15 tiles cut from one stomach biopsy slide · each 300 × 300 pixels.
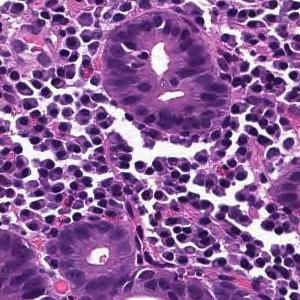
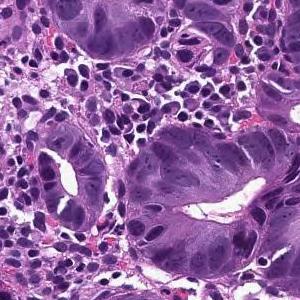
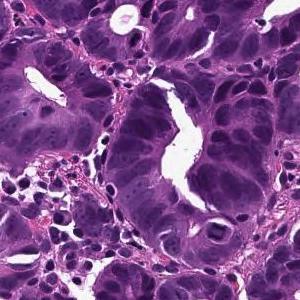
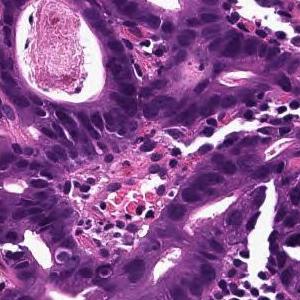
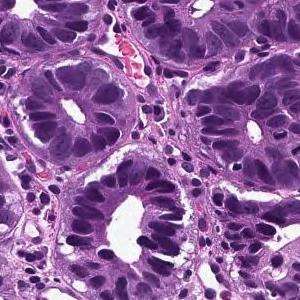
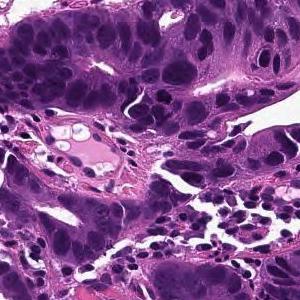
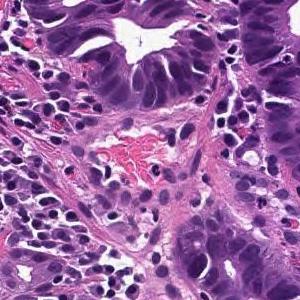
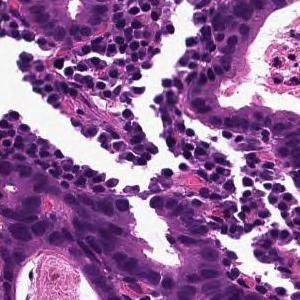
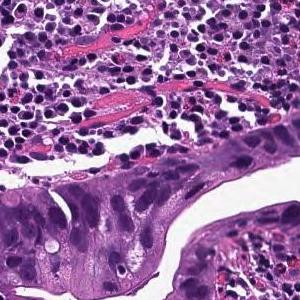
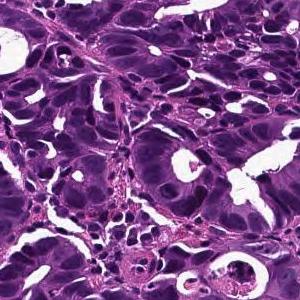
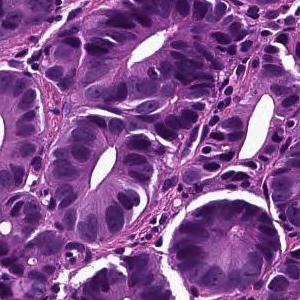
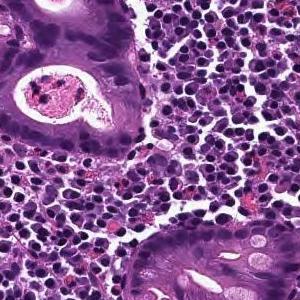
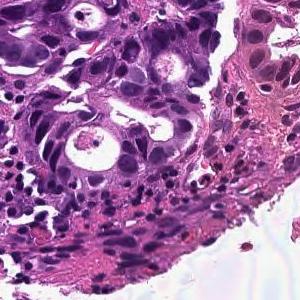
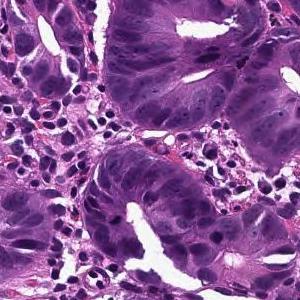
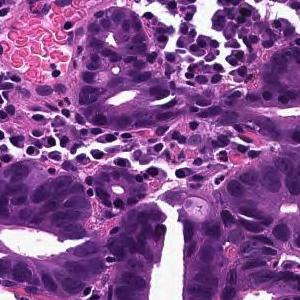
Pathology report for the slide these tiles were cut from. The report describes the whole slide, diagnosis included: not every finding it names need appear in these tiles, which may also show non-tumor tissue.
From the superficial epithelium to the muscularis mucosae, tumor tissue consisting of medium-sized and irregular glandular ducts infiltrating is observed. Well differentiated tubular adenocarcinoma
